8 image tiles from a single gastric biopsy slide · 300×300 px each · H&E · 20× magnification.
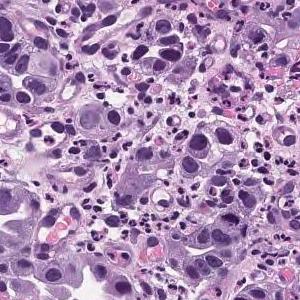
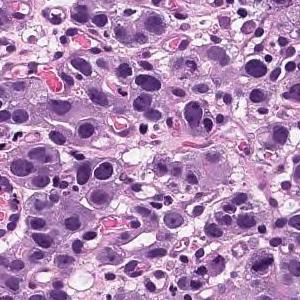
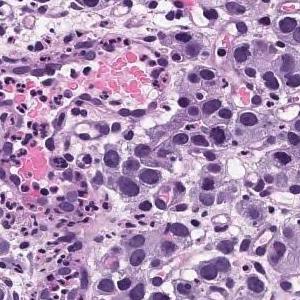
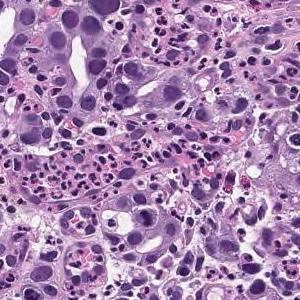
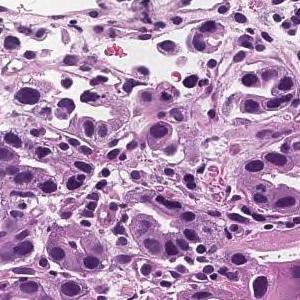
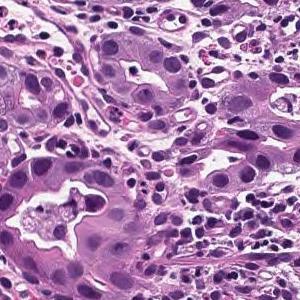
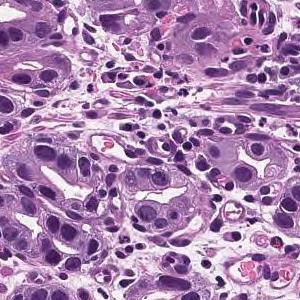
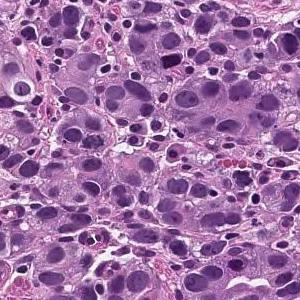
Pathology report for the biopsy slide these tiles were cut from. The findings and the diagnosis refer to the entire slide; these tiles show only part of it, possibly with non-tumor tissue, and may not show every feature named.
The superficial epithelium shows a large sheet or alveolar shape, and tumor tissue infiltrating without irregular ducts is observed. Poorly differentiated adenocarcinoma, solid-type
Histological subtype: Poorly differentiated adenocarcinoma, solid type. This name comes from the Japanese Classification of Gastric Carcinoma; the WHO 2019 classification calls it tubular adenocarcinoma, poorly differentiated.
